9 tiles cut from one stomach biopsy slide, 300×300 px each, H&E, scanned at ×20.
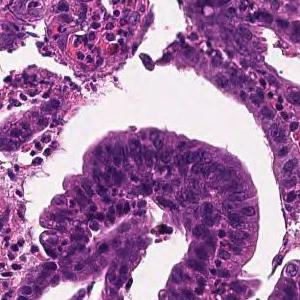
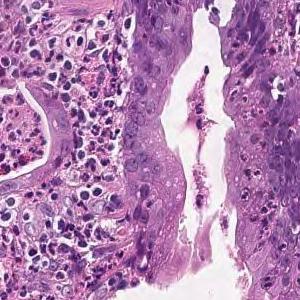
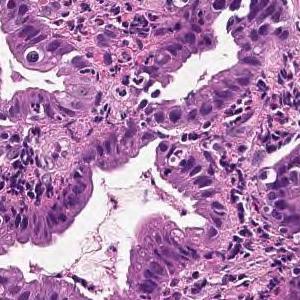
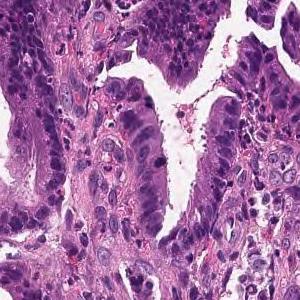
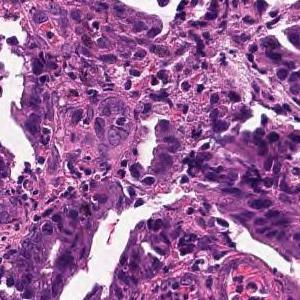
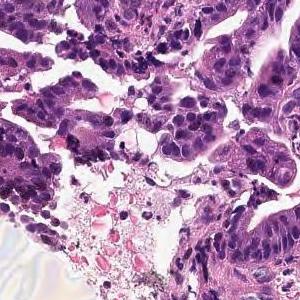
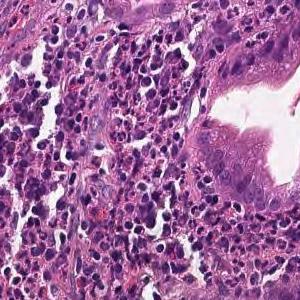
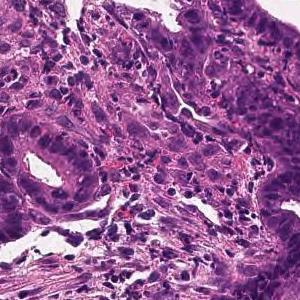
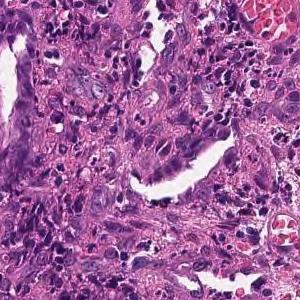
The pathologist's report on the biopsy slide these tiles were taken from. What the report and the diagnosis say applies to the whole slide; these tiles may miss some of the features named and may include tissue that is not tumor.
From the superficial epithelium to the muscularis mucosae, tumor tissue consisting of medium-sized and irregular glandular ducts infiltrating is observed. Well differentiated tubular adenocarcinoma
